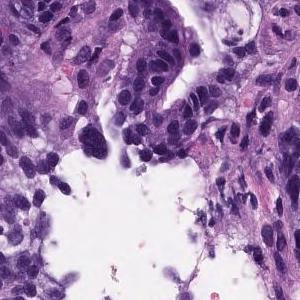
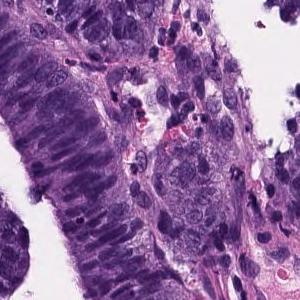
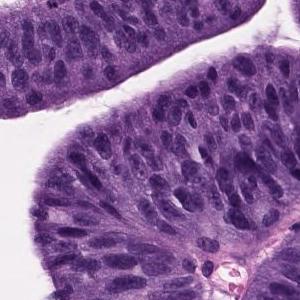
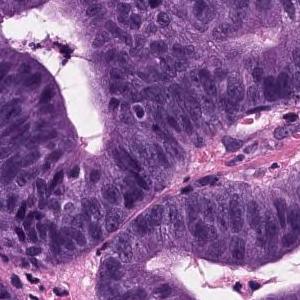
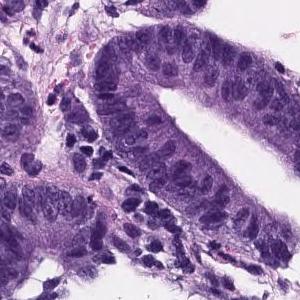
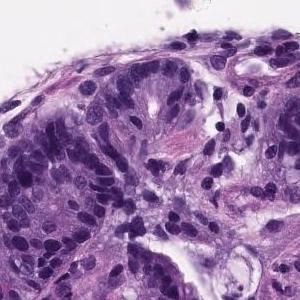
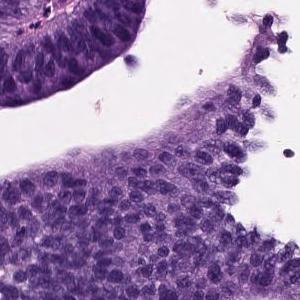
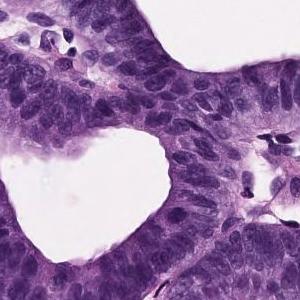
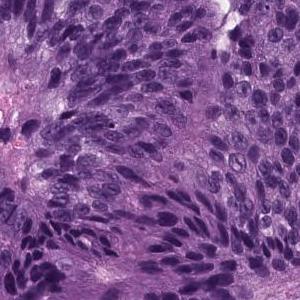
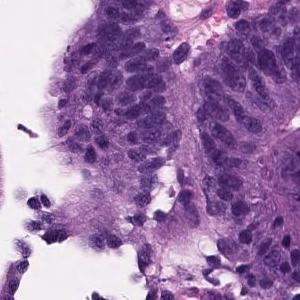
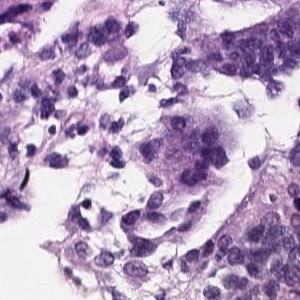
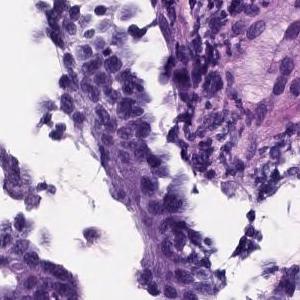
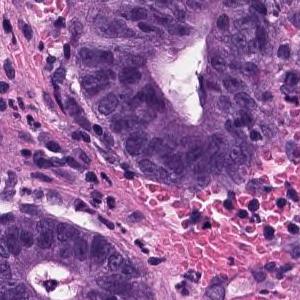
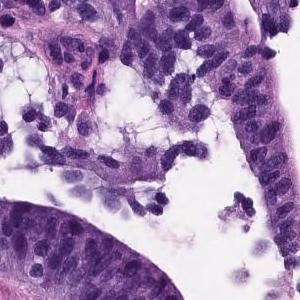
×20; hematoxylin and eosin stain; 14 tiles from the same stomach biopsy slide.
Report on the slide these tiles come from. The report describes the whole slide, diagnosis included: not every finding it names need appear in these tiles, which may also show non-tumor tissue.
Papillo-tubular growth of atypical tubules with nuclear swelling is observed. Well differentiated tubular adenocarcinoma
